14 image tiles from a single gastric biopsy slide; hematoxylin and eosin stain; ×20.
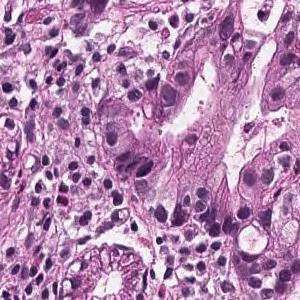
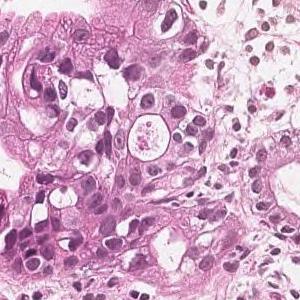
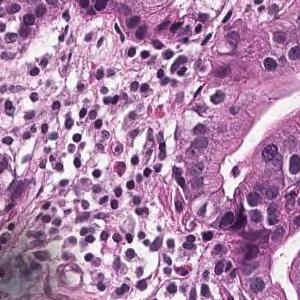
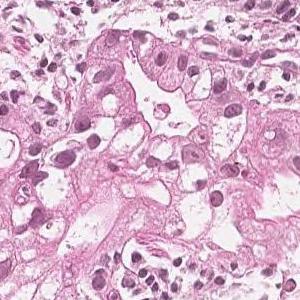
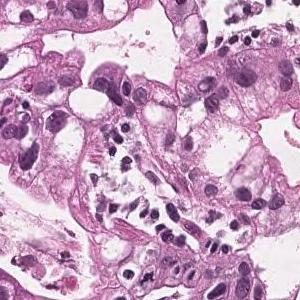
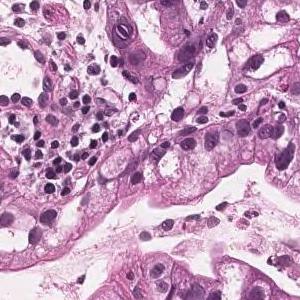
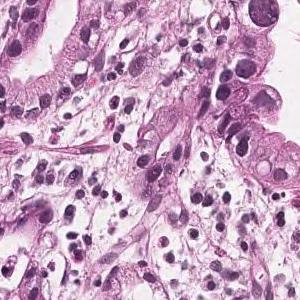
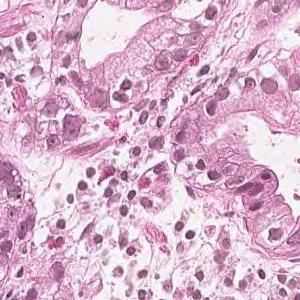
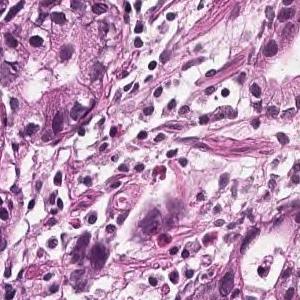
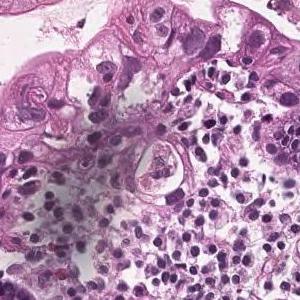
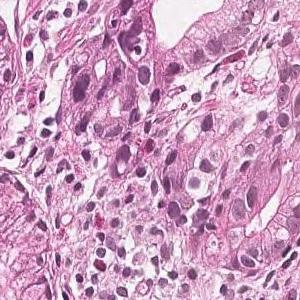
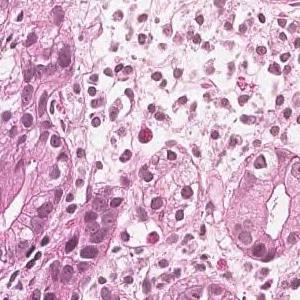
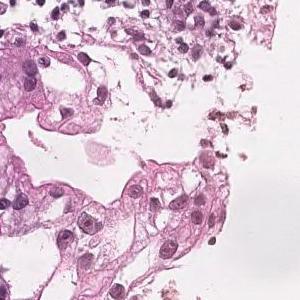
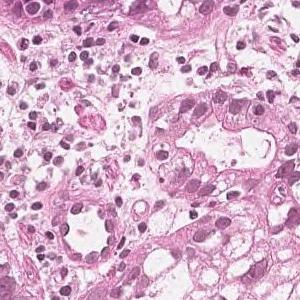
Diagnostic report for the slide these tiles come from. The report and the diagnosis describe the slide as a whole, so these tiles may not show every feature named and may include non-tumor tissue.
In the superficial epithelium, tumor tissue that invades by forming medium-sized to small, irregular ducts is observed. moderately differentiated tubular adenocarcinoma.
